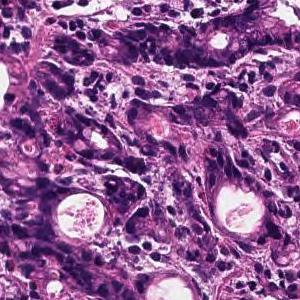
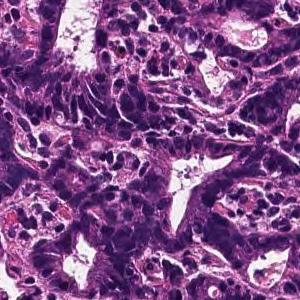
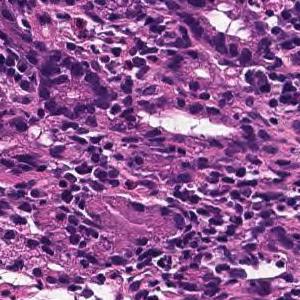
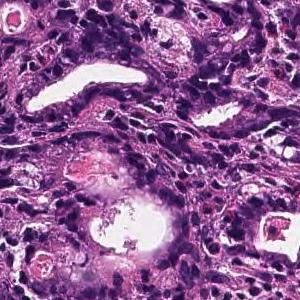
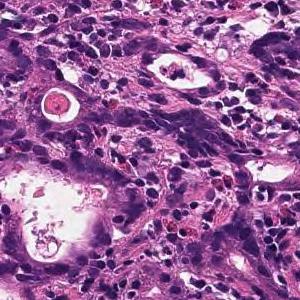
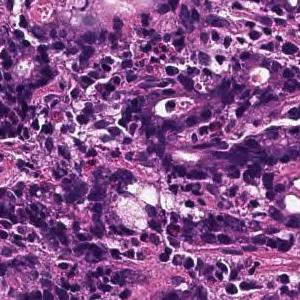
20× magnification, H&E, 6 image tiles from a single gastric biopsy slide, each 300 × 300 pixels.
The pathologist's report on the biopsy slide these tiles were taken from. The findings and the diagnosis refer to the entire slide; these tiles show only part of it, possibly with non-tumor tissue, and may not show every feature named.
On the superficial epithelium, tumor tissue is found in which medium-sized irregular gland ducts fuse with each other and infiltrate. moderately differentiated tubular adenocarcinoma
